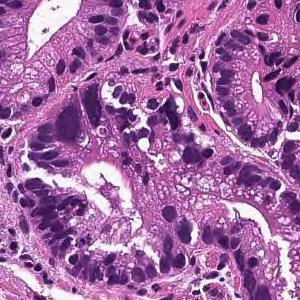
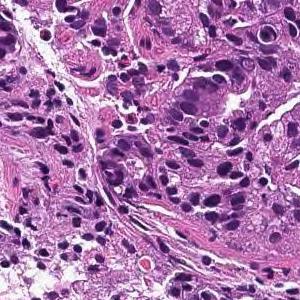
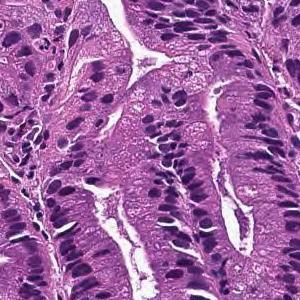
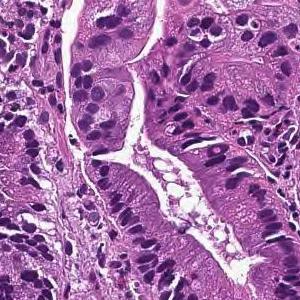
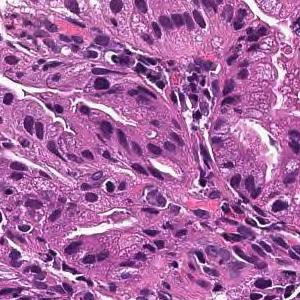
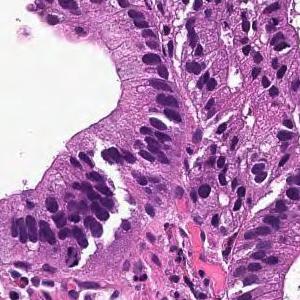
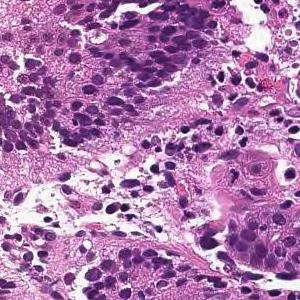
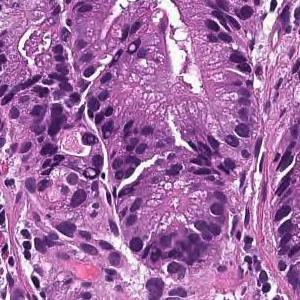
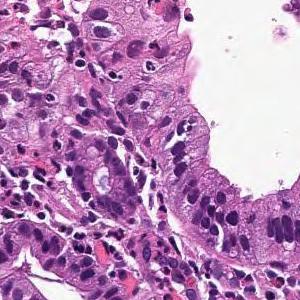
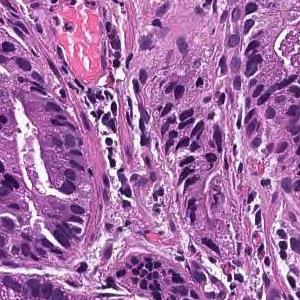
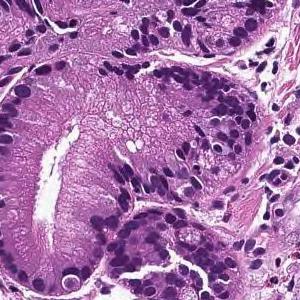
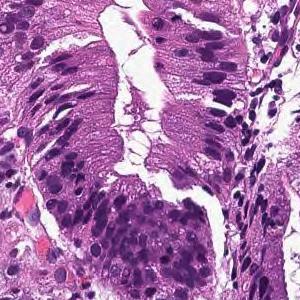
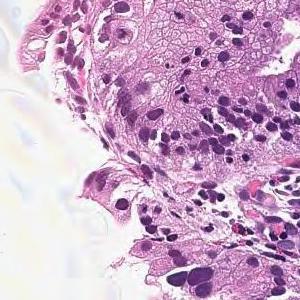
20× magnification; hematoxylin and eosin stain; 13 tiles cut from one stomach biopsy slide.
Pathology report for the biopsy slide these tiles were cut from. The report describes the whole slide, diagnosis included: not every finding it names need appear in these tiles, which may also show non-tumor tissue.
Tumor cells are large, highly columnar, large club-shaped nuclei, and are associated with chromatin aggregation. Papillary adenocarcinoma.
